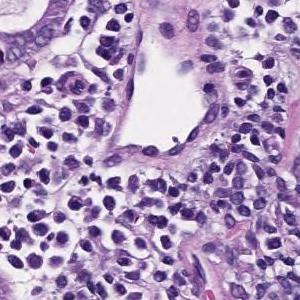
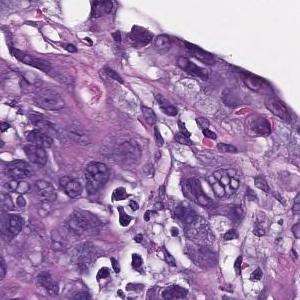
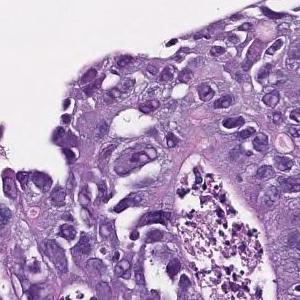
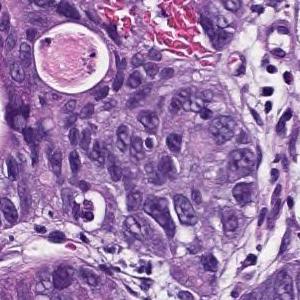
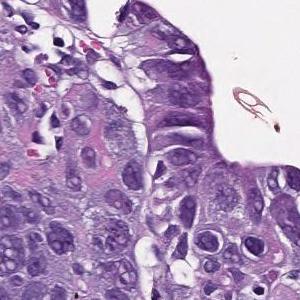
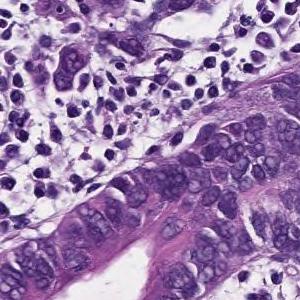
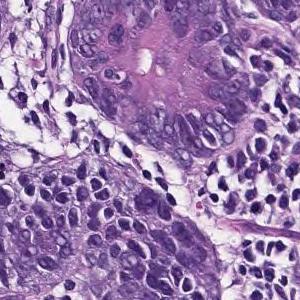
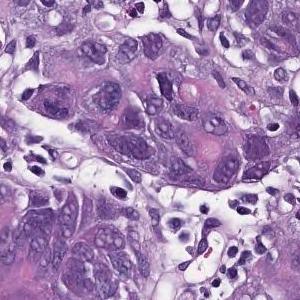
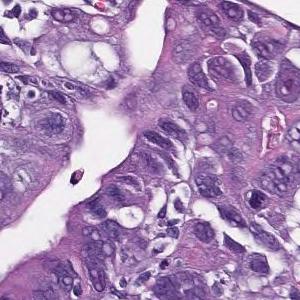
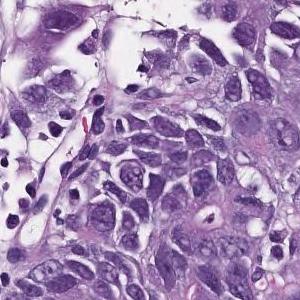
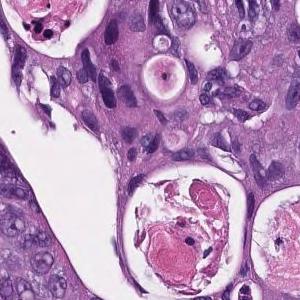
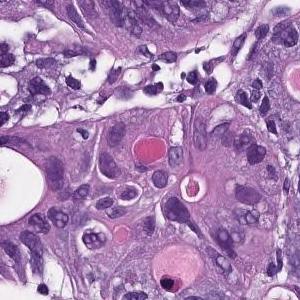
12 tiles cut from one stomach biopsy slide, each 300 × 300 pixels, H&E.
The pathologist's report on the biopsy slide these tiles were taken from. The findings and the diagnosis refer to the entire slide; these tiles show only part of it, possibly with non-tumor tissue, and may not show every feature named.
In the superficial epithelium, tumor tissue that invades by forming medium-sized to small, irregular ducts is observed. moderately differentiated tubular adenocarcinoma.
